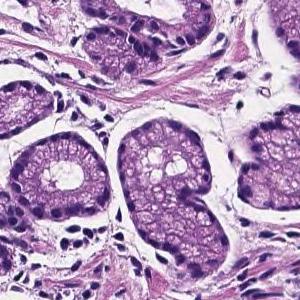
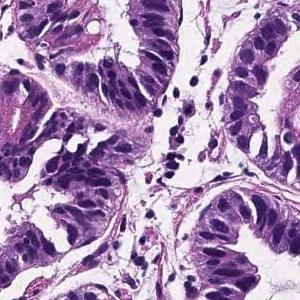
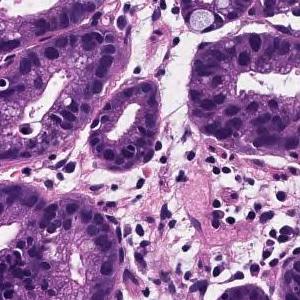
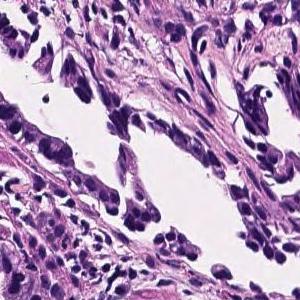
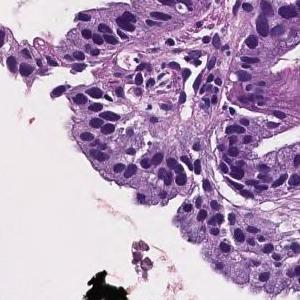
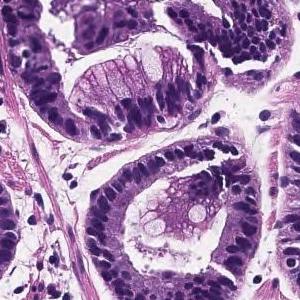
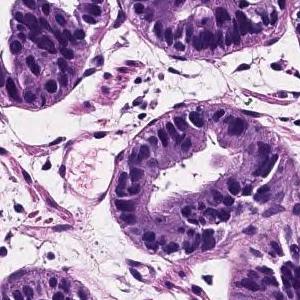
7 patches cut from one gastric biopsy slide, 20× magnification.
Diagnostic report for the slide these tiles come from. Both the report and the diagnosis are for the whole slide: these tiles need not show every feature named, and some of the tissue shown may not be tumor.
Tumor cells are large, highly columnar, large club-shaped nuclei, and are associated with chromatin aggregation. Papillary adenocarcinoma.
